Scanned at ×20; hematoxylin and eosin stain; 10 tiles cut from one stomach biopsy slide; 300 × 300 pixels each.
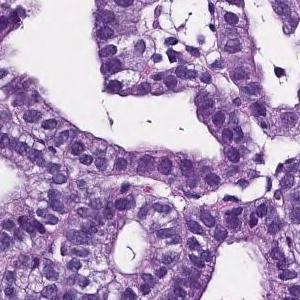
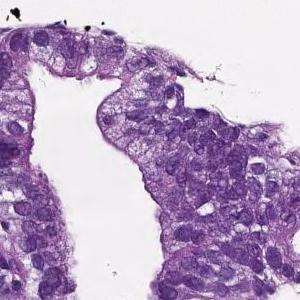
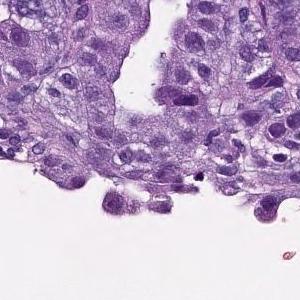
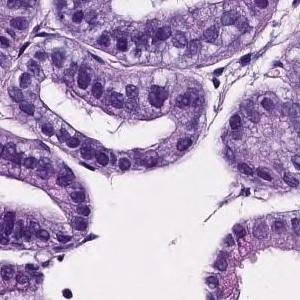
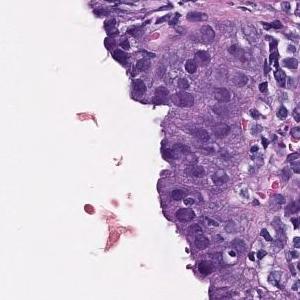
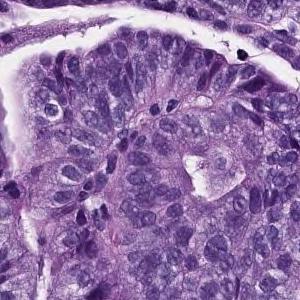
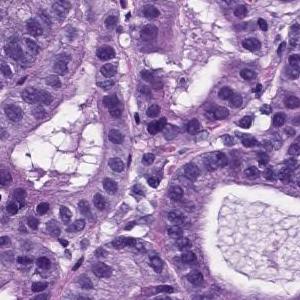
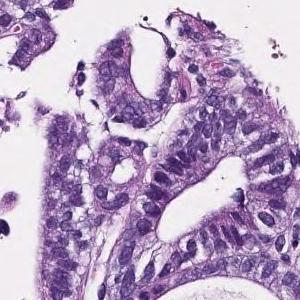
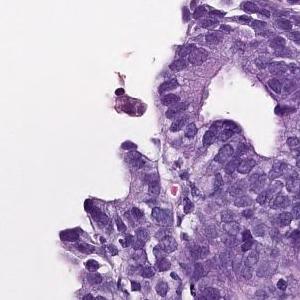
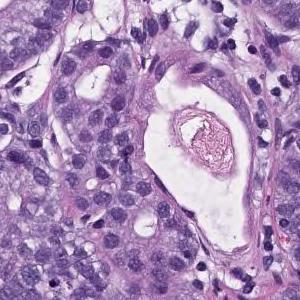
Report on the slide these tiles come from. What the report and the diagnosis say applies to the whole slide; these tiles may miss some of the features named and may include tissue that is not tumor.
On the superficial epithelium, tumor tissue that infiltrates by forming medium-sized papillary or small irregular ducts is observed. Papillary adenocarcinoma
